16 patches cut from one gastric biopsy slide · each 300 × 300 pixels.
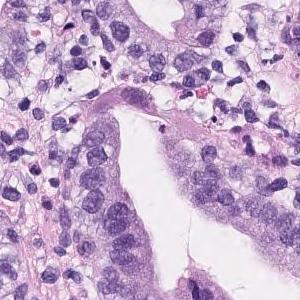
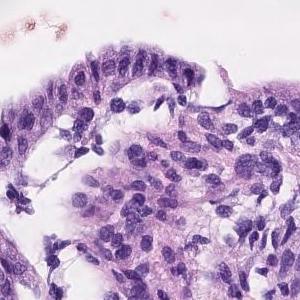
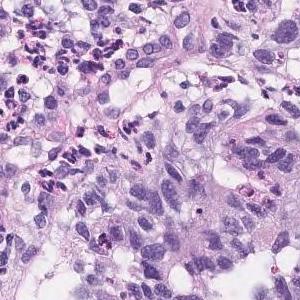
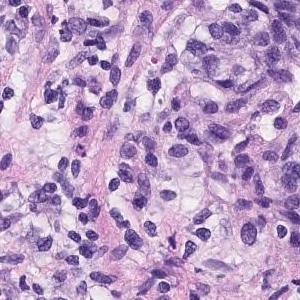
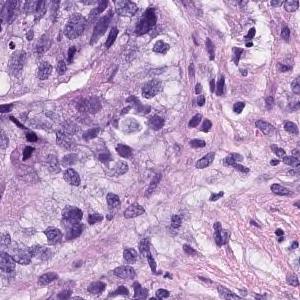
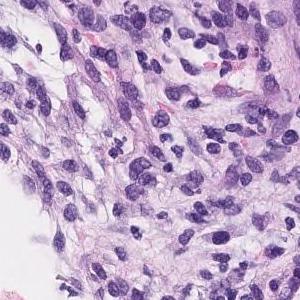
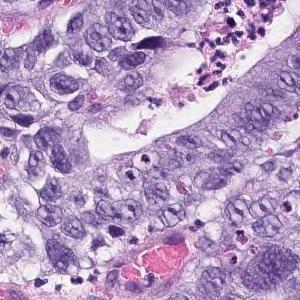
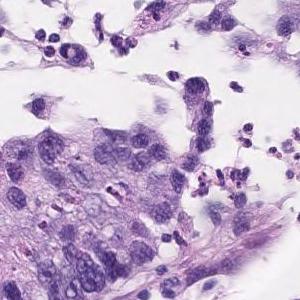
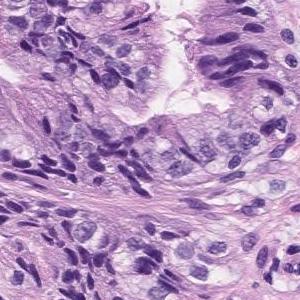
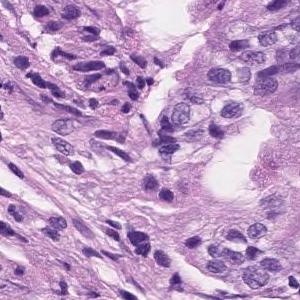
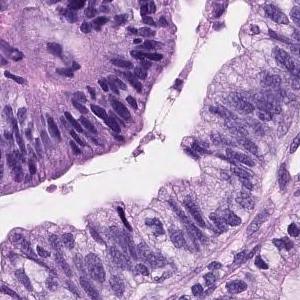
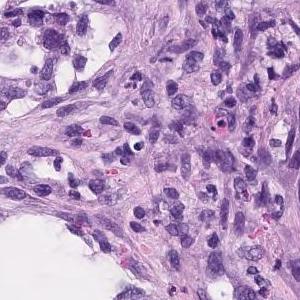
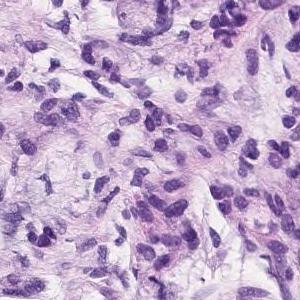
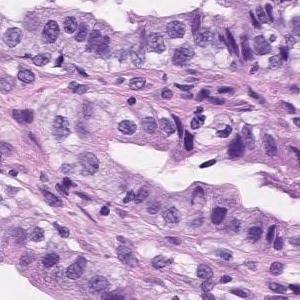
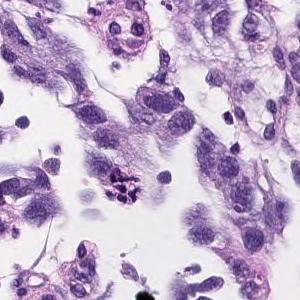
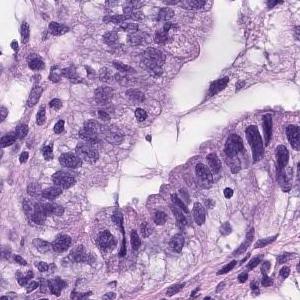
Diagnostic report for the slide these tiles come from. The report and the diagnosis describe the slide as a whole, so these tiles may not show every feature named and may include non-tumor tissue.
Tumor cells are large, highly columnar, large club-shaped nuclei, and are associated with chromatin aggregation. Papillary adenocarcinoma.
